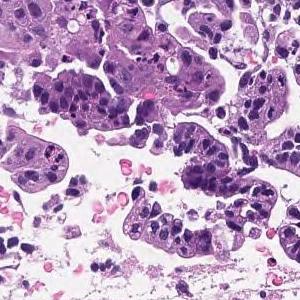
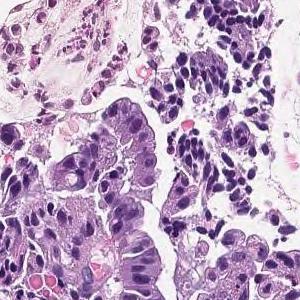
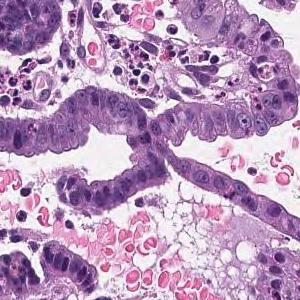
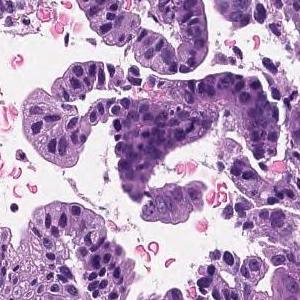
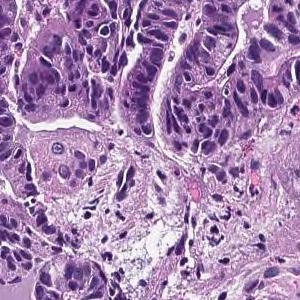
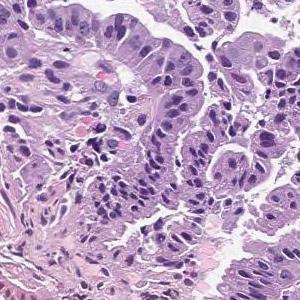
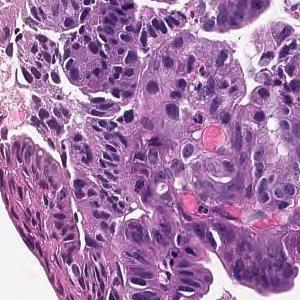
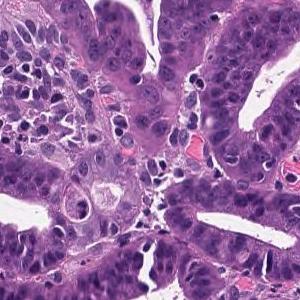
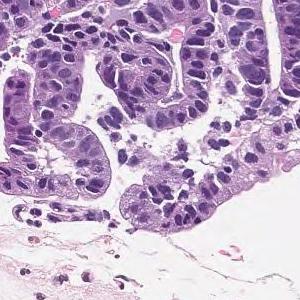
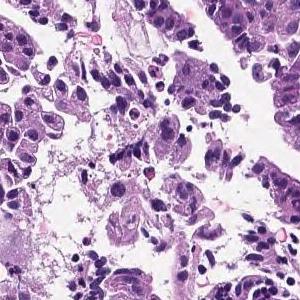
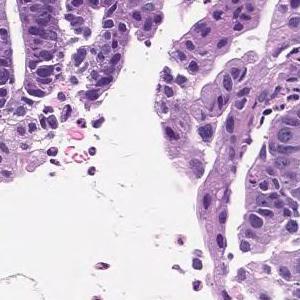
11 patches cut from one gastric biopsy slide; each 300 × 300 pixels.
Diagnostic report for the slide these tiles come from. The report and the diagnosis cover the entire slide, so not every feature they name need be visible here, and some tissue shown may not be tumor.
Tumor cells are large, highly columnar, large club-shaped nuclei, and are associated with chromatin aggregation. Papillary adenocarcinoma.
